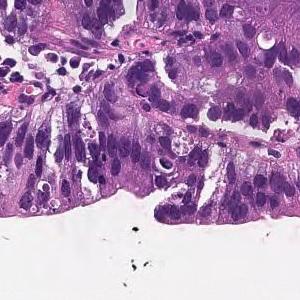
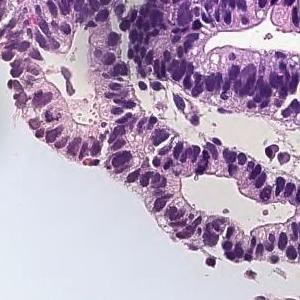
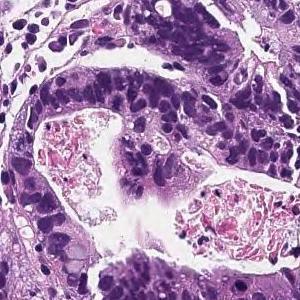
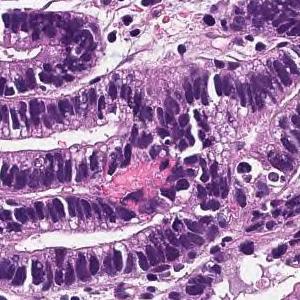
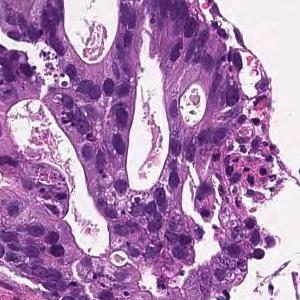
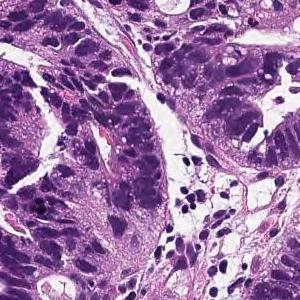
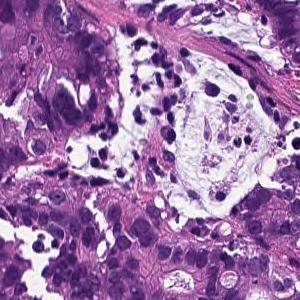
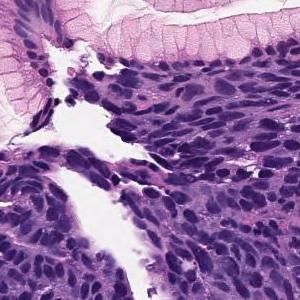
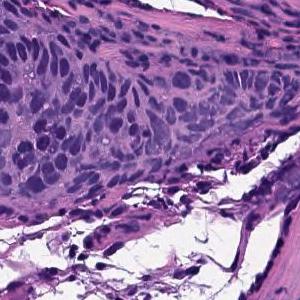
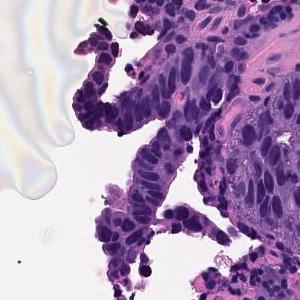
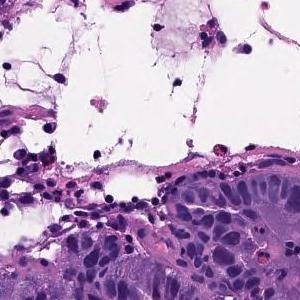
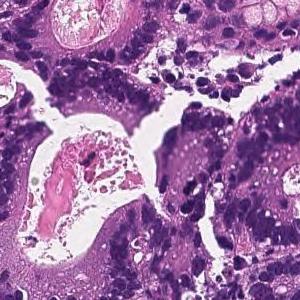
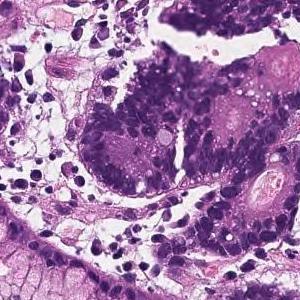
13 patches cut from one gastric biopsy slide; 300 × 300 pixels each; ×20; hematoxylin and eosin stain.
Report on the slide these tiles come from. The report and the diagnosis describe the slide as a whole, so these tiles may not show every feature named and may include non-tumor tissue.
In the superficial epithelium, tumor tissue that invades by forming medium-sized to small, irregular ducts is observed. moderately differentiated tubular adenocarcinoma.
